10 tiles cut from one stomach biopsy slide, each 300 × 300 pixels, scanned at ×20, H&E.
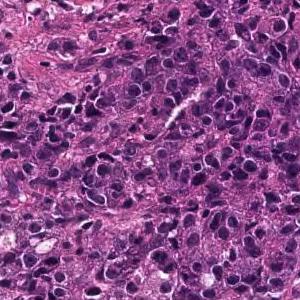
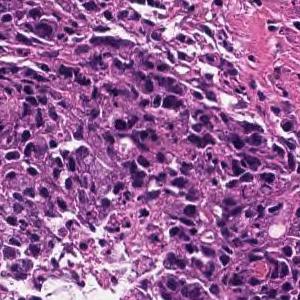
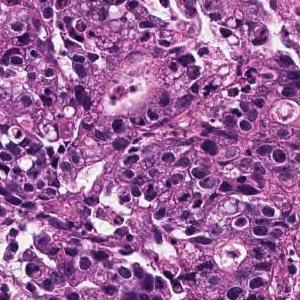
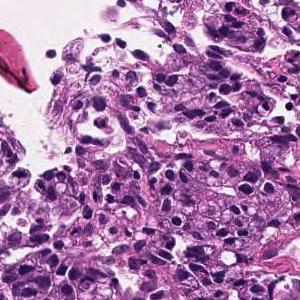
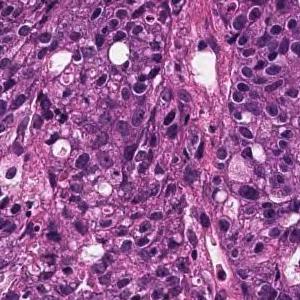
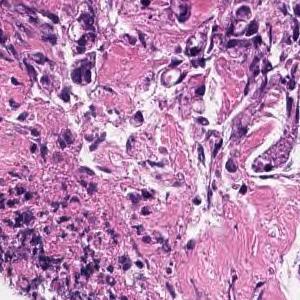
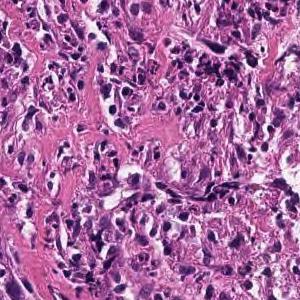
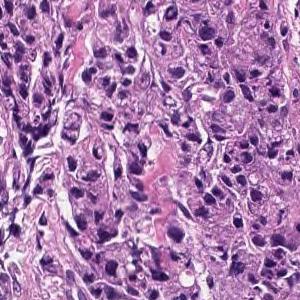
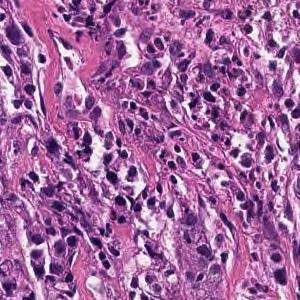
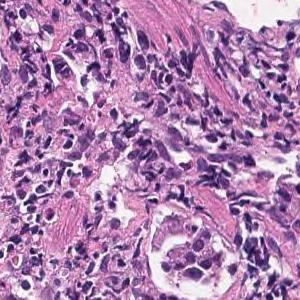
Diagnostic report for the slide these tiles come from. The report and the diagnosis describe the slide as a whole, so these tiles may not show every feature named and may include non-tumor tissue.
Medium to small, irregular glandular ducts are formed in the superficial epithelium, and in some cases, the glandular ducts are fused to show solid alveolar lesions and infiltrating tumor tissue is observed. Moderately to poorly differentiated adenocarcinoma.
